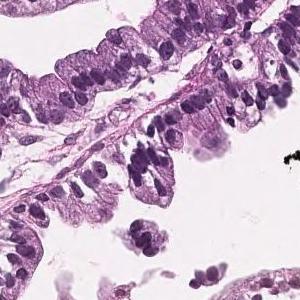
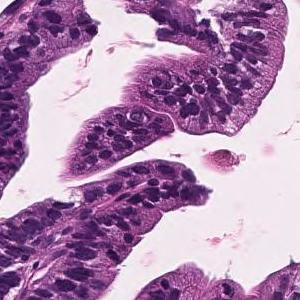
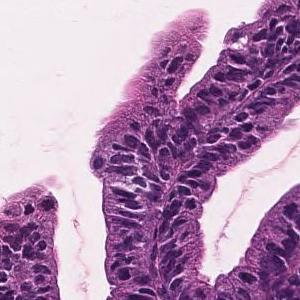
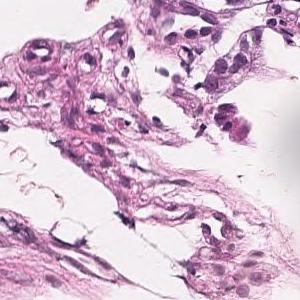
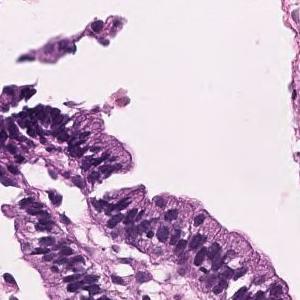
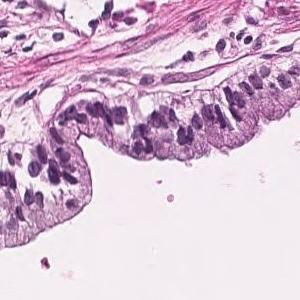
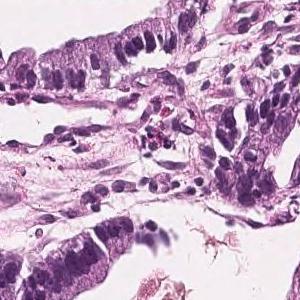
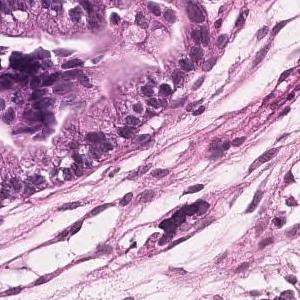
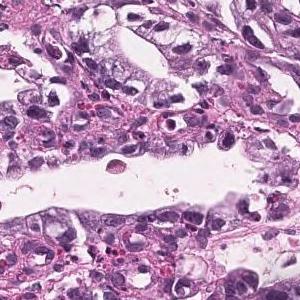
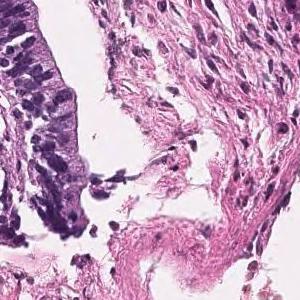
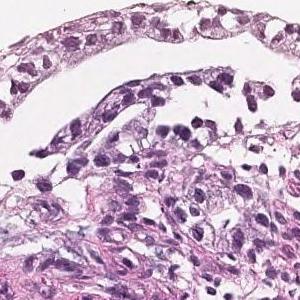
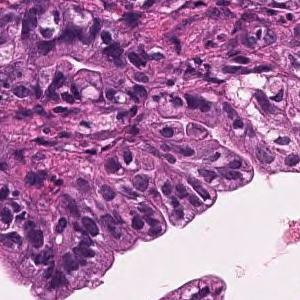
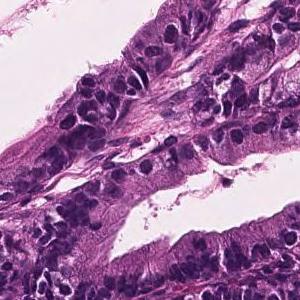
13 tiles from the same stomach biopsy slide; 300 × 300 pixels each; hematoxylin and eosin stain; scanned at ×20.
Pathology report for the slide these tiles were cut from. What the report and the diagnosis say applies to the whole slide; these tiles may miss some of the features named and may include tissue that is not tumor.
Tumor cells are large, highly columnar, large club-shaped nuclei, and are associated with chromatin aggregation. Papillary adenocarcinoma.
